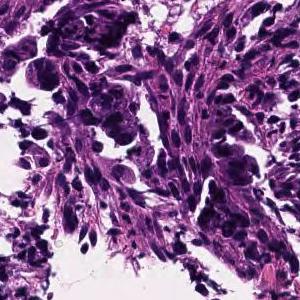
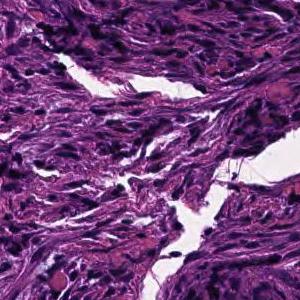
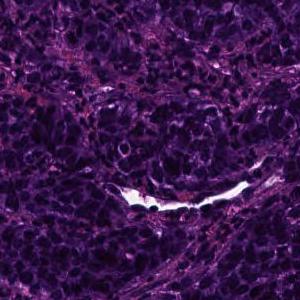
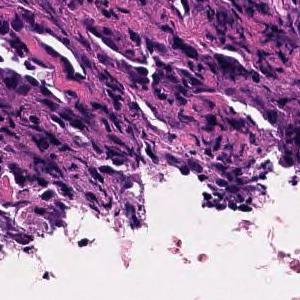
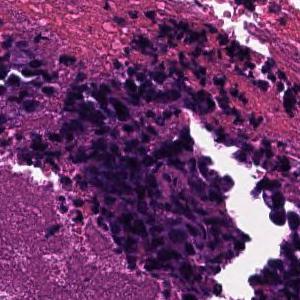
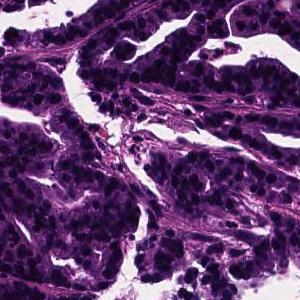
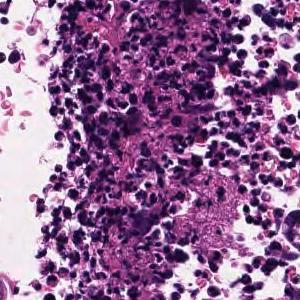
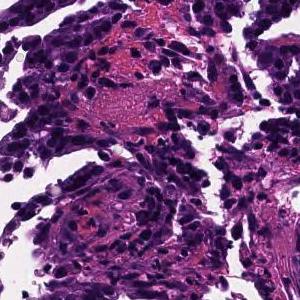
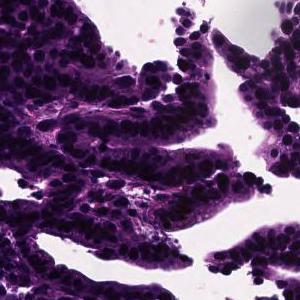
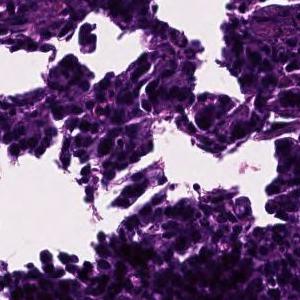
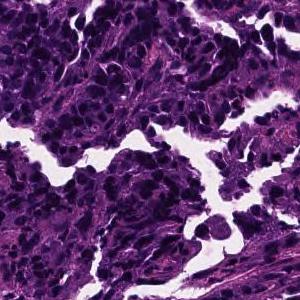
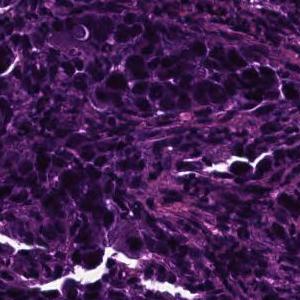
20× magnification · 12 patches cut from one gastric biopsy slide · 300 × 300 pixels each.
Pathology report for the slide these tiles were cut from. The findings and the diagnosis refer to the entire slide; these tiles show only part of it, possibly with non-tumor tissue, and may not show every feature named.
In the superficial epithelium, tumor tissue that invades by forming medium-sized to small, irregular ducts is observed. moderately differentiated tubular adenocarcinoma.
